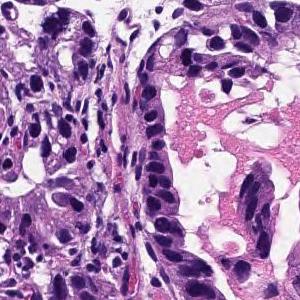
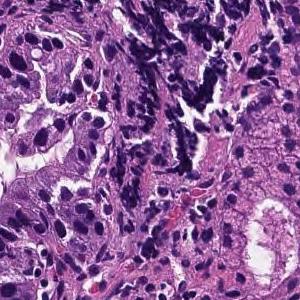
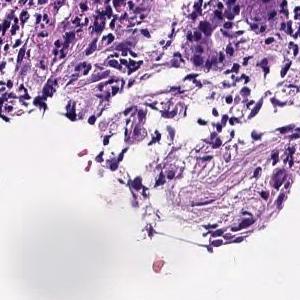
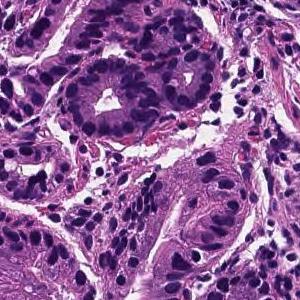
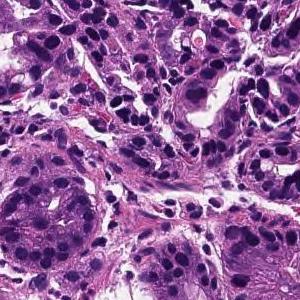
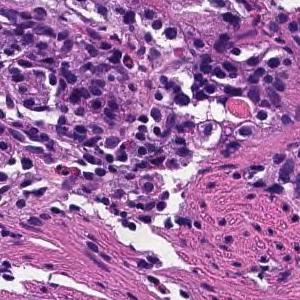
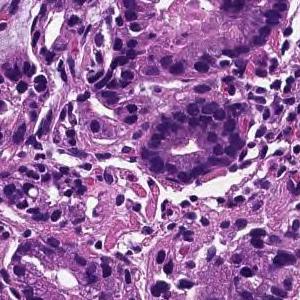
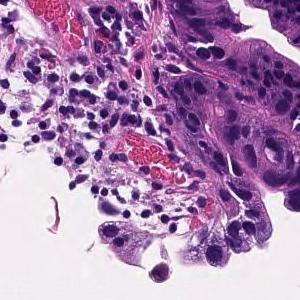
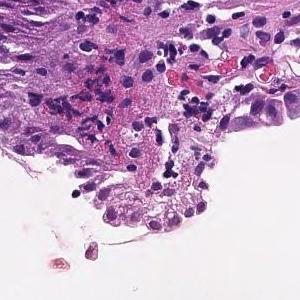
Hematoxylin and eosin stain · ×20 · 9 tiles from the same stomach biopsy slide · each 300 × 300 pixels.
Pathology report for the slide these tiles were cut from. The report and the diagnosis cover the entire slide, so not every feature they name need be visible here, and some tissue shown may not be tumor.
From the superficial epithelium to the muscularis mucosae, tumor tissue consisting of medium-sized and irregular glandular ducts infiltrating is observed. Well differentiated tubular adenocarcinoma
